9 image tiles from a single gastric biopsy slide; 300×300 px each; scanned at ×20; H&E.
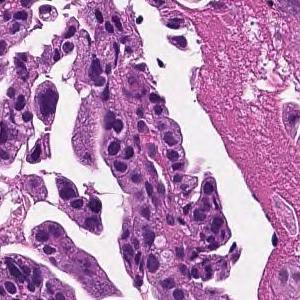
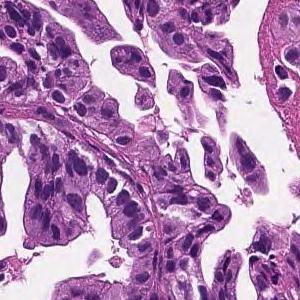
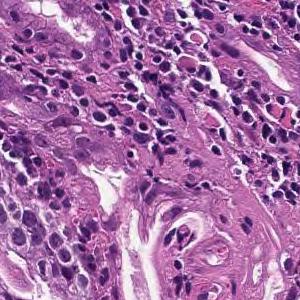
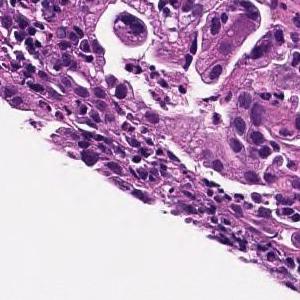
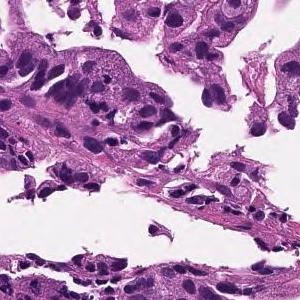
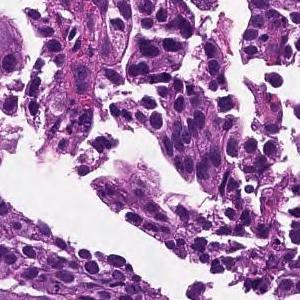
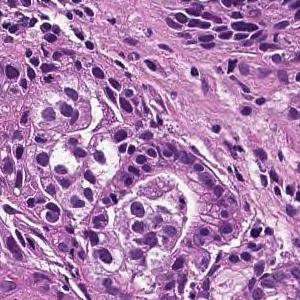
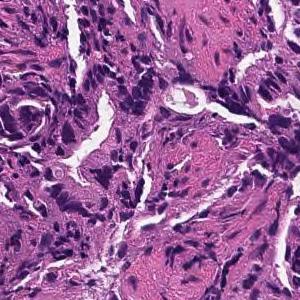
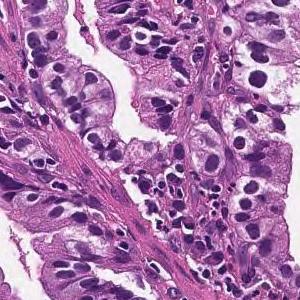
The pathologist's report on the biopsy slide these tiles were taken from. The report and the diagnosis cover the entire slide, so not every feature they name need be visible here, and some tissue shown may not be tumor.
Medium to small, irregular glandular ducts are formed in the superficial epithelium, and in some cases, the glandular ducts are fused to show solid alveolar lesions and infiltrating tumor tissue is observed. Moderately to poorly differentiated adenocarcinoma.
